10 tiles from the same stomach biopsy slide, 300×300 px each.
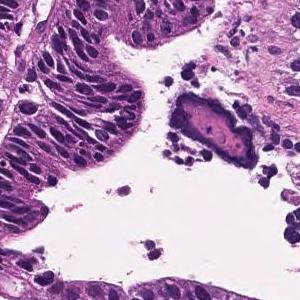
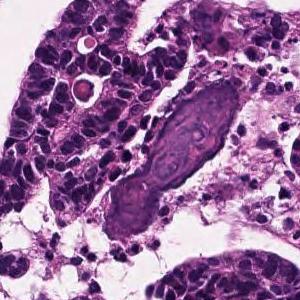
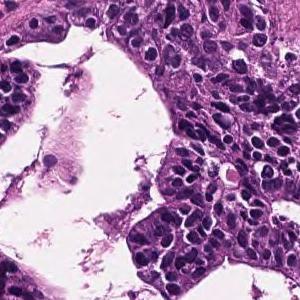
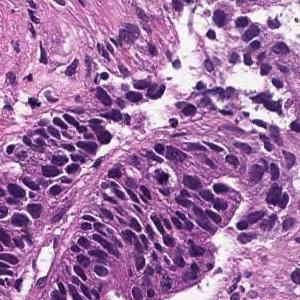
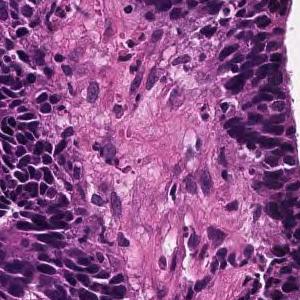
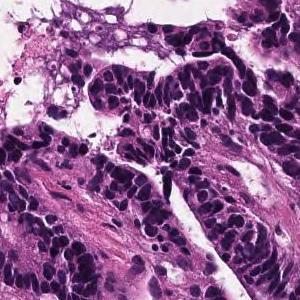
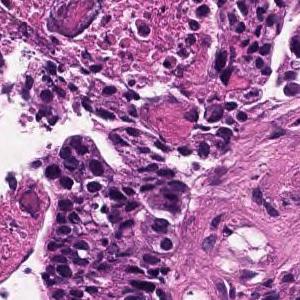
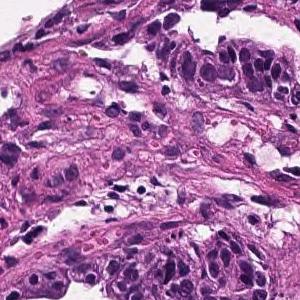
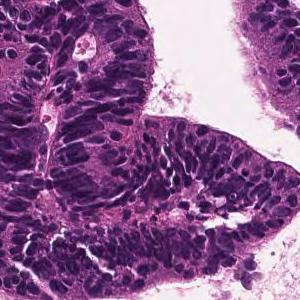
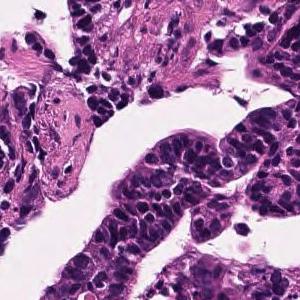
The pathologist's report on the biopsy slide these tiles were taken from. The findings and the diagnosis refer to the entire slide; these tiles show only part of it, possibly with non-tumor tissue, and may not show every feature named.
In the superficial epithelium, tumor tissue that invades by forming medium-sized to small, irregular ducts is observed. Well differentiated tubular adenocarcinoma.
